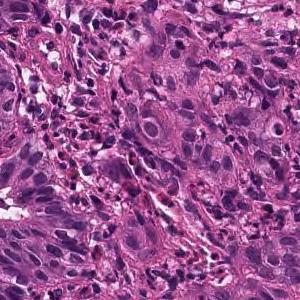
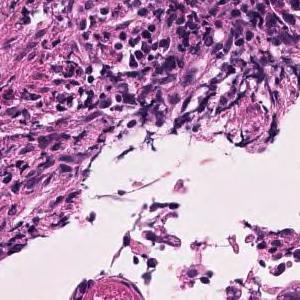
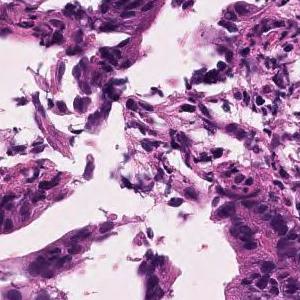
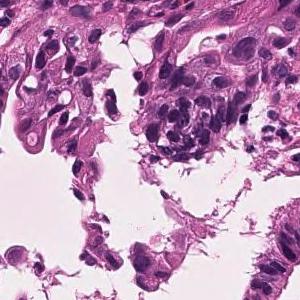
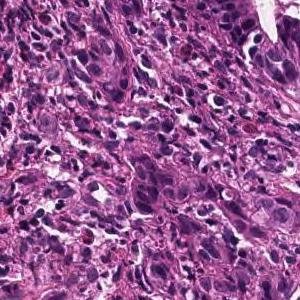
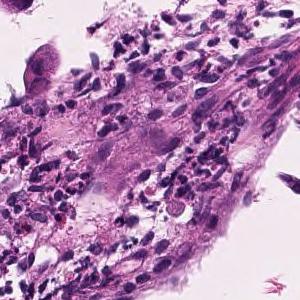
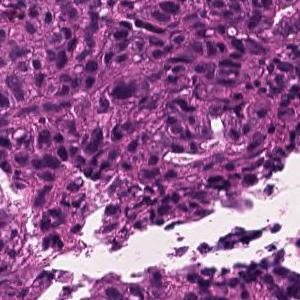
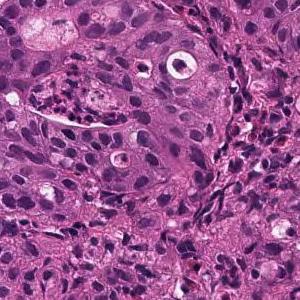
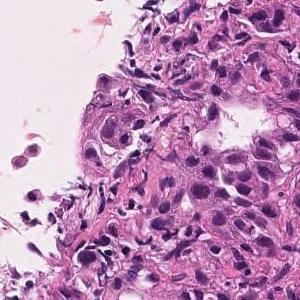
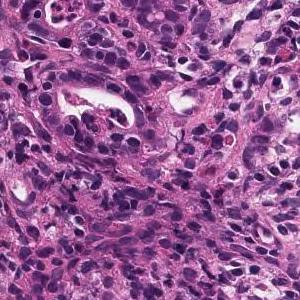
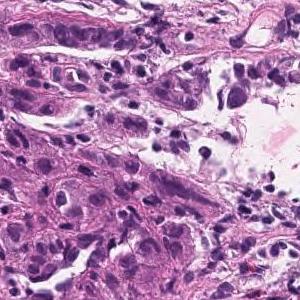
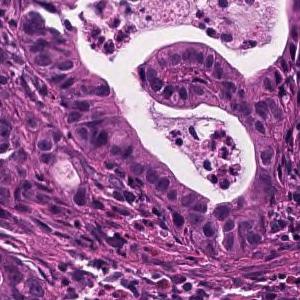
×20, H&E, 12 tiles from the same stomach biopsy slide.
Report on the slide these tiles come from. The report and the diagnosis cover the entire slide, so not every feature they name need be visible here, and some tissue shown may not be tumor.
Tumor tissue consisting of medium-sized, cord-like or irregular glandular infiltration is observed in the superficial epithelium. Poorly differentiated adenocarcinoma, non-solid type or moderately differentiated tubular adenocarcinoma
"Non-solid type" is a category of the Japanese Classification of Gastric Carcinoma.
